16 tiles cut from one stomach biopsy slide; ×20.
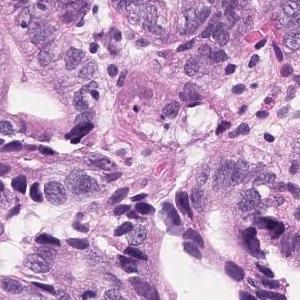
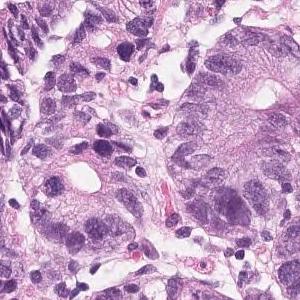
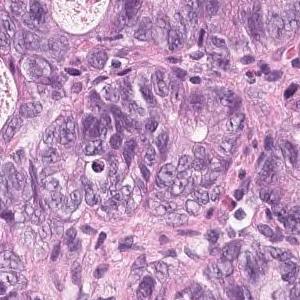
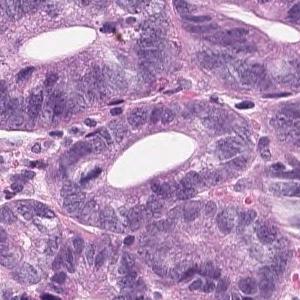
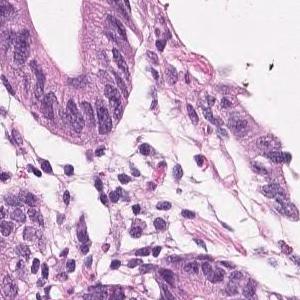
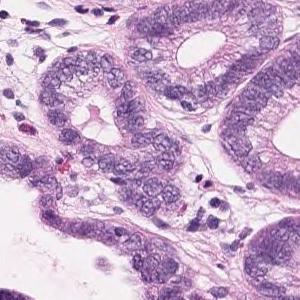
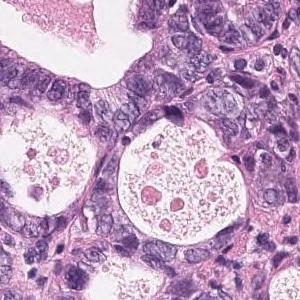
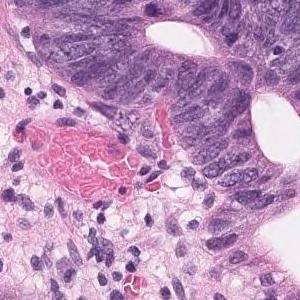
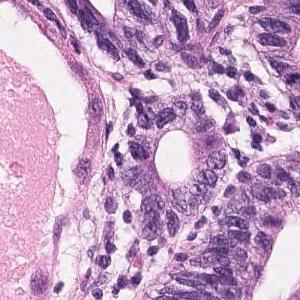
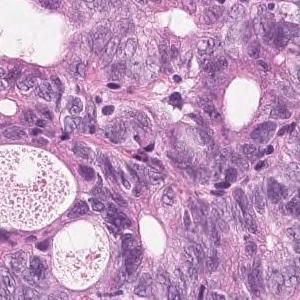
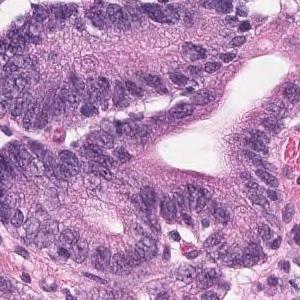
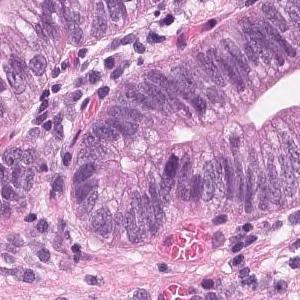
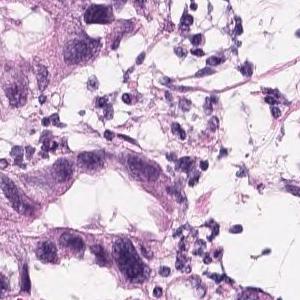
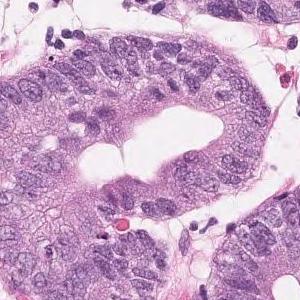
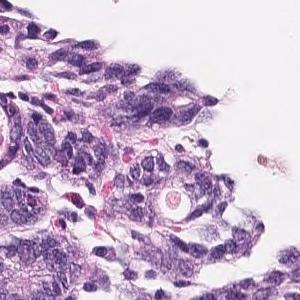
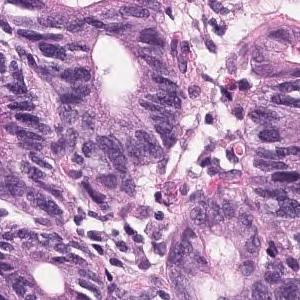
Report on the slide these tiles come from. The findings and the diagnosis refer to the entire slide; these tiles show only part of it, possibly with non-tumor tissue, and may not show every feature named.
Atypical ducts with severe atypia are densely populated in the superficial epithelium, and tumor tissue with hyperplasia is observed. Well differentiated tubular adenocarcinoma
